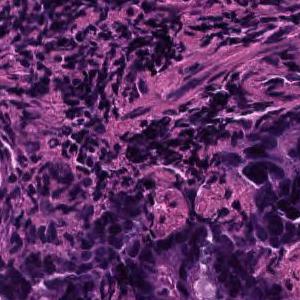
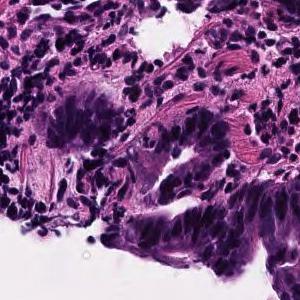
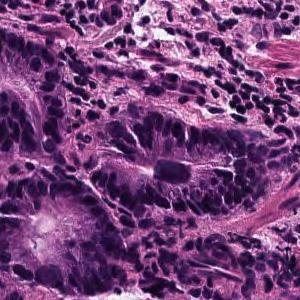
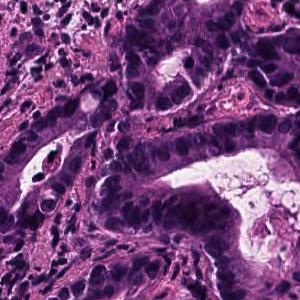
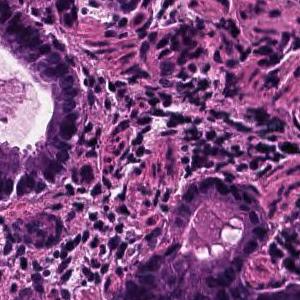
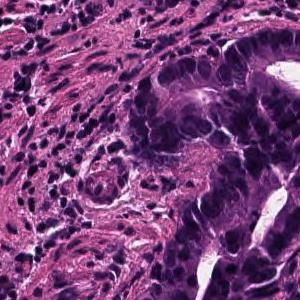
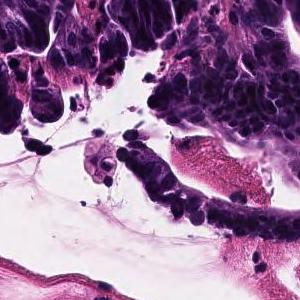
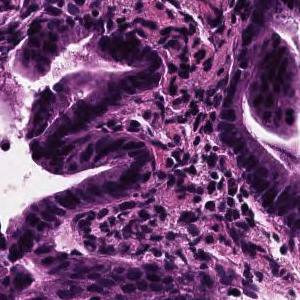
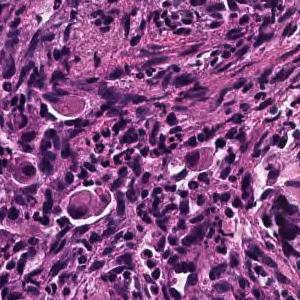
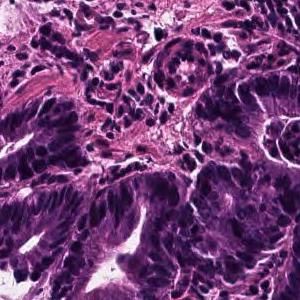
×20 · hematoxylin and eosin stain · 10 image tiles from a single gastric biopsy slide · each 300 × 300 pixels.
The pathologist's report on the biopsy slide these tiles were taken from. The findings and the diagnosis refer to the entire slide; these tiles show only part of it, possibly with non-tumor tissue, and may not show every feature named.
On the superficial epithelium, tumor tissue consisting of large, irregular glandular ducts partially fused and infiltrated is observed. Well to moderately differentiated tubular adenocarcinoma (well differentiated tubular adenocarcinoma, moderately differentiated tubular adenocarcinoma)
Tumor subtype: well to moderately differentiated tubular adenocarcinoma.
